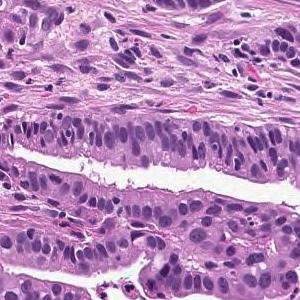
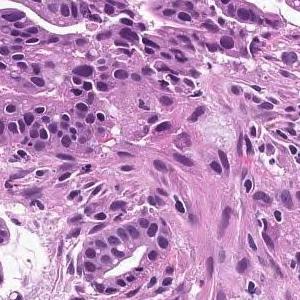
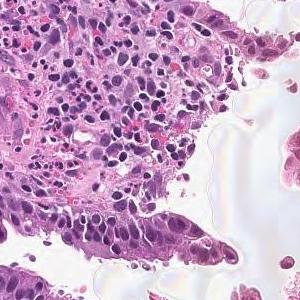
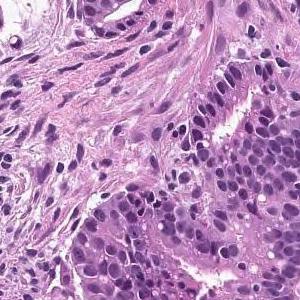
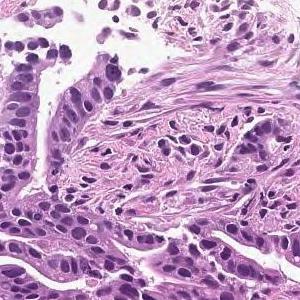
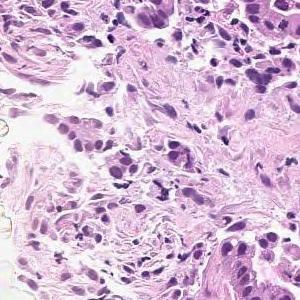
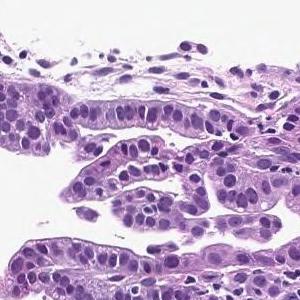
7 tiles cut from one stomach biopsy slide · each 300 × 300 pixels · H&E stain · ×20.
The pathologist's report on the biopsy slide these tiles were taken from. The findings and the diagnosis refer to the entire slide; these tiles show only part of it, possibly with non-tumor tissue, and may not show every feature named.
On the superficial epithelium, tumor tissue that infiltrates by forming medium-sized papillary or small irregular ducts is observed. Papillary adenocarcinoma
